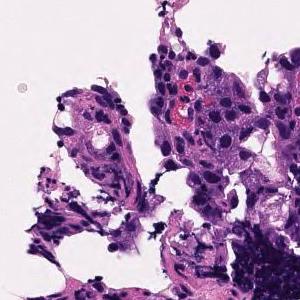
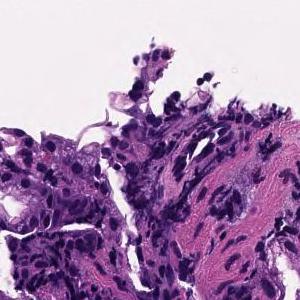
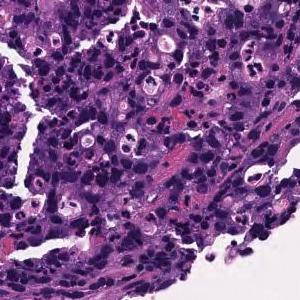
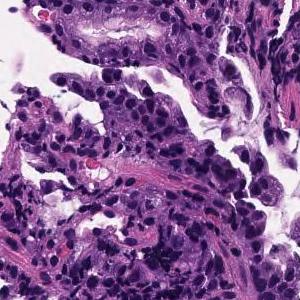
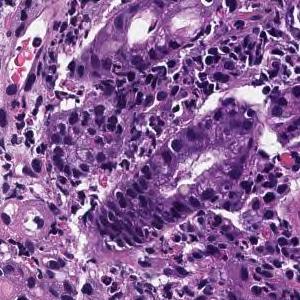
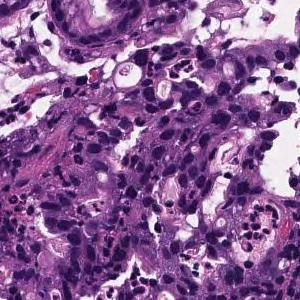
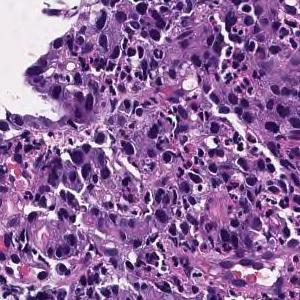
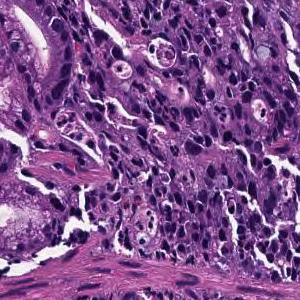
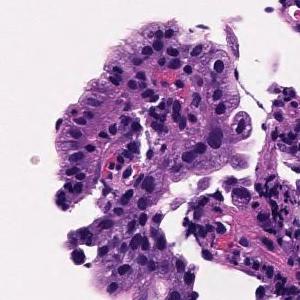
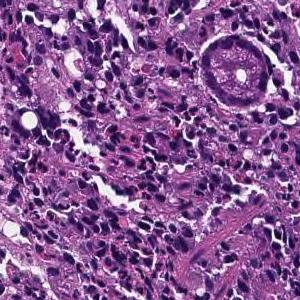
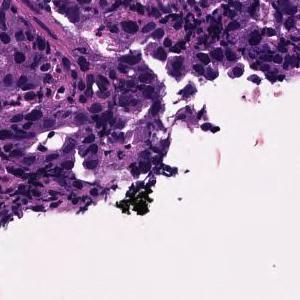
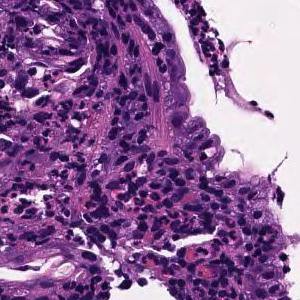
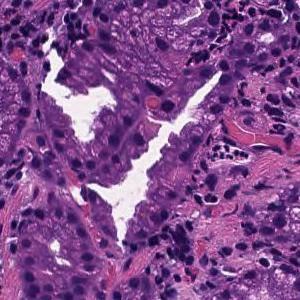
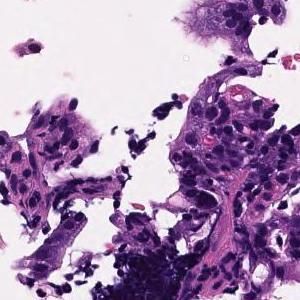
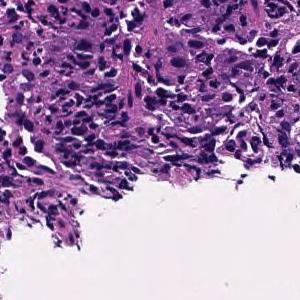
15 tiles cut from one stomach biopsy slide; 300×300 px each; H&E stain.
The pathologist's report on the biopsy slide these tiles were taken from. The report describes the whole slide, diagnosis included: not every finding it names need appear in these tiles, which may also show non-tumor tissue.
Medium to small, irregular glandular ducts are formed in the superficial epithelium, and in some cases, the glandular ducts are fused to show solid alveolar lesions and infiltrating tumor tissue is observed. Moderately to poorly differentiated adenocarcinoma.
